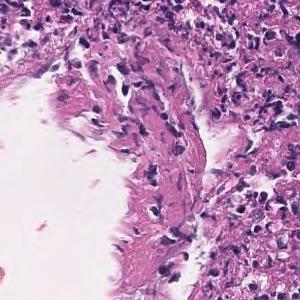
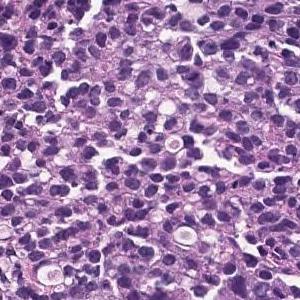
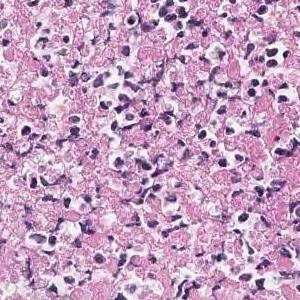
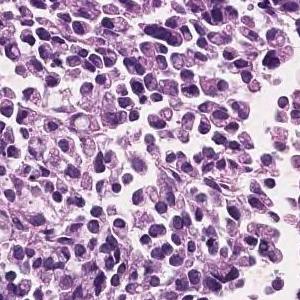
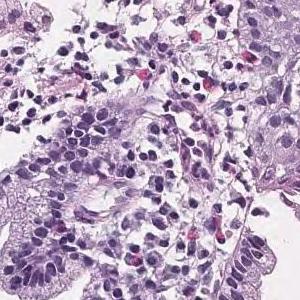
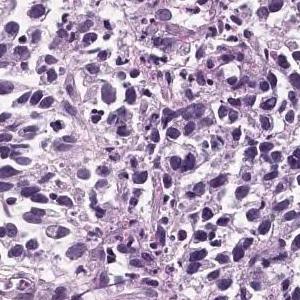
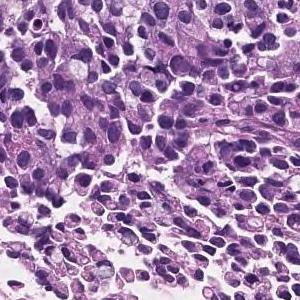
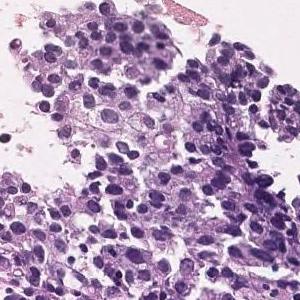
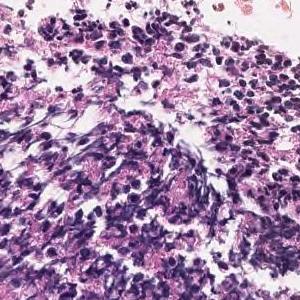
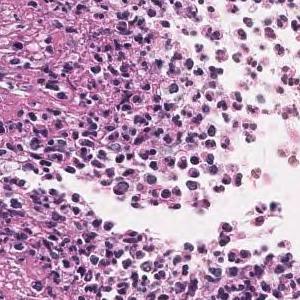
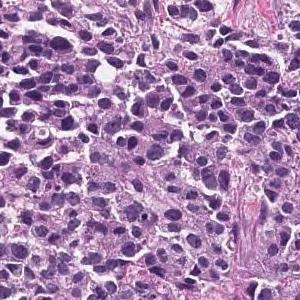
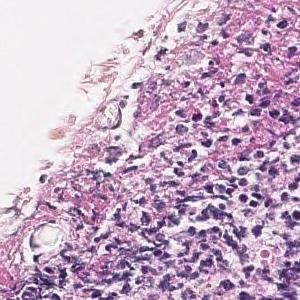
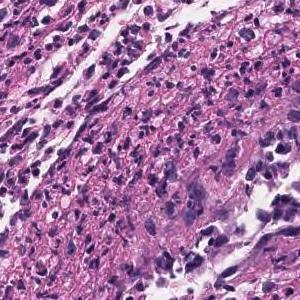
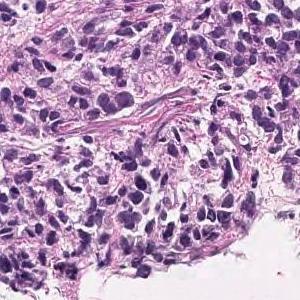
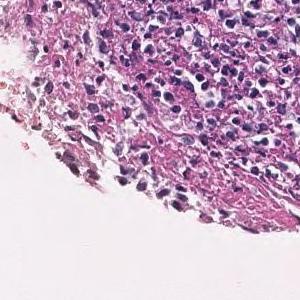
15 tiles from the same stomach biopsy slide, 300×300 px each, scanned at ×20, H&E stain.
The pathologist's report on the biopsy slide these tiles were taken from. The findings and the diagnosis refer to the entire slide; these tiles show only part of it, possibly with non-tumor tissue, and may not show every feature named.
The superficial epithelium shows a large sheet-like shape, and some tumor tissue infiltrates with small irregular ducts. Poorly differentiated adenocarcinoma, solid-type
Histologic type: Poorly differentiated adenocarcinoma, solid type, a category of the Japanese Classification of Gastric Carcinoma; in the WHO 2019 classification it is tubular adenocarcinoma, poorly differentiated.
